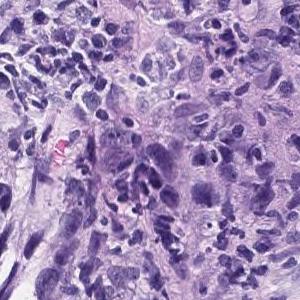
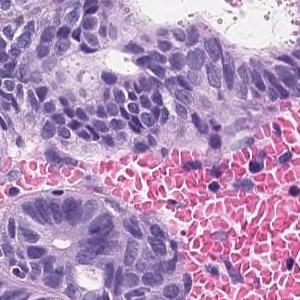
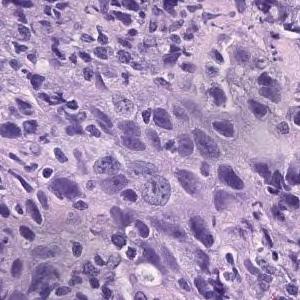
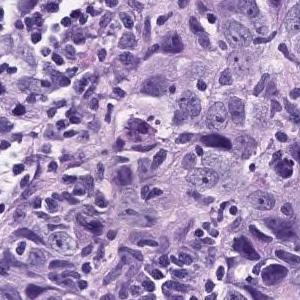
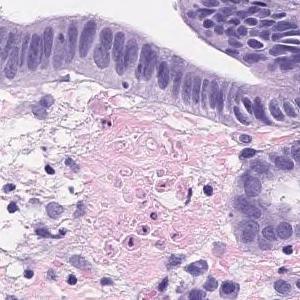
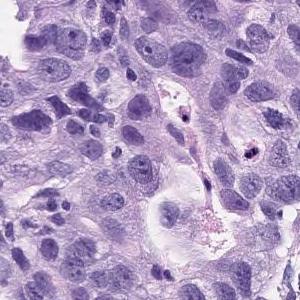
6 tiles from the same stomach biopsy slide · each 300 × 300 pixels · H&E.
Pathology report for the biopsy slide these tiles were cut from. The report and the diagnosis cover the entire slide, so not every feature they name need be visible here, and some tissue shown may not be tumor.
The superficial epithelium shows a large sheet-like shape, and some tumor tissue infiltrates with small irregular ducts. Poorly differentiated adenocarcinoma, solid-type
Histological subtype: Poorly differentiated adenocarcinoma, solid type (Japanese Classification of Gastric Carcinoma). The WHO 2019 equivalent is tubular adenocarcinoma, poorly differentiated.
